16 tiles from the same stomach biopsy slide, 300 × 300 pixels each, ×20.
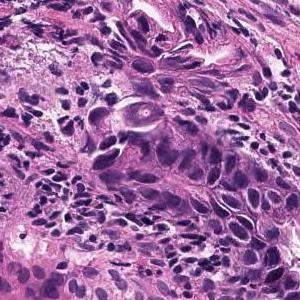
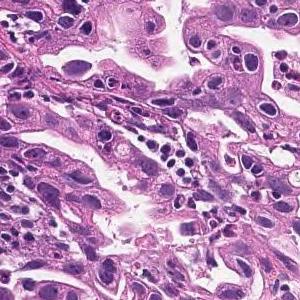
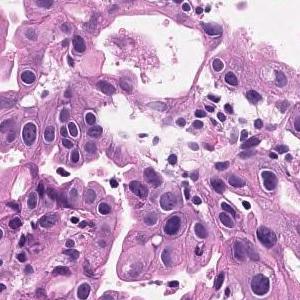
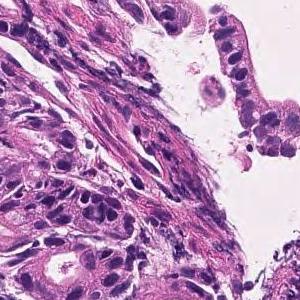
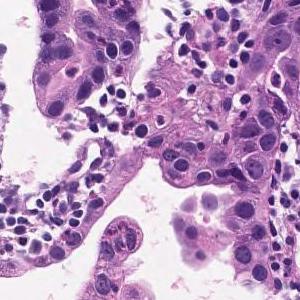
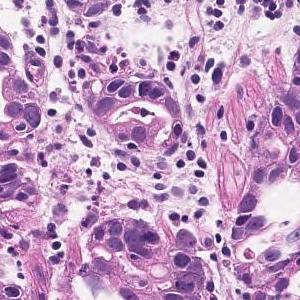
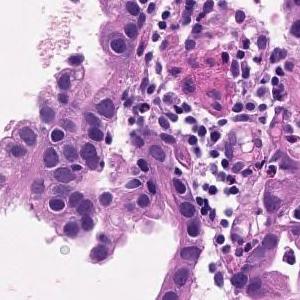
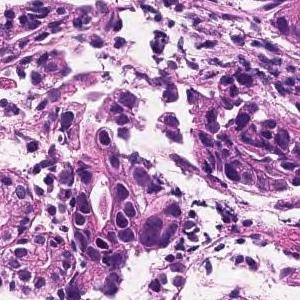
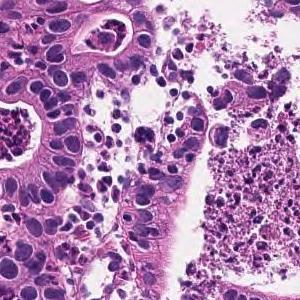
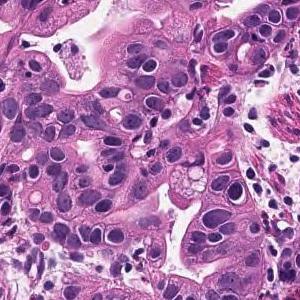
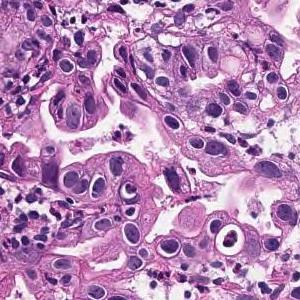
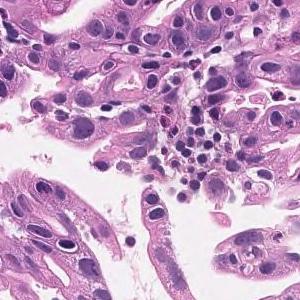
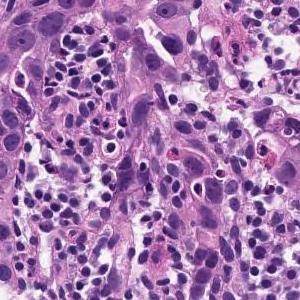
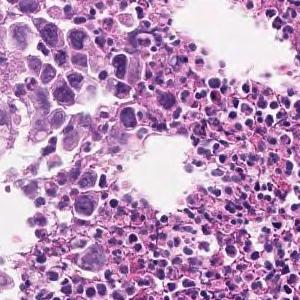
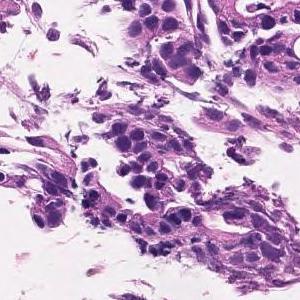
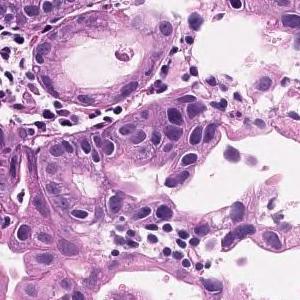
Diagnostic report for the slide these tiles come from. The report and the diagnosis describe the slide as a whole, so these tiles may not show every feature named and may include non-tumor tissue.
In the superficial epithelium, tumor tissue that invades by forming medium-sized to small, irregular ducts is observed. moderately differentiated tubular adenocarcinoma.
